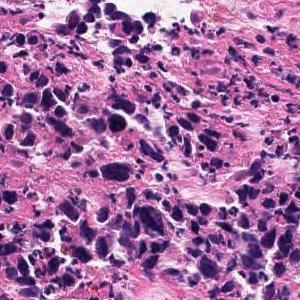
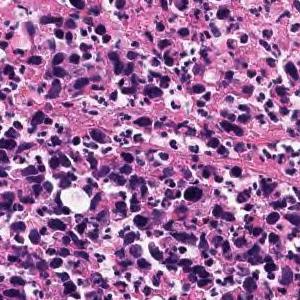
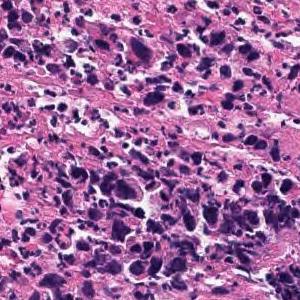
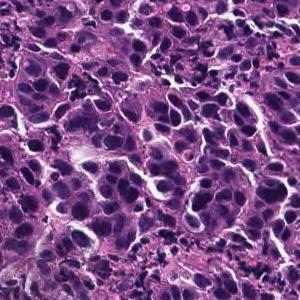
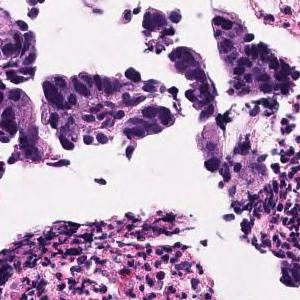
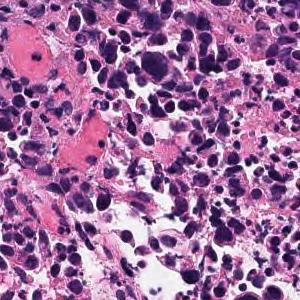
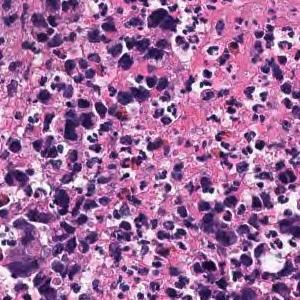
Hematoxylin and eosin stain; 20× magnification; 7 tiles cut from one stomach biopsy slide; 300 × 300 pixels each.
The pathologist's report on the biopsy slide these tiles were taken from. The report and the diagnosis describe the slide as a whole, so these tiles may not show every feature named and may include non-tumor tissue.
In the superficial epithelium, tumor tissue that invades by forming medium-sized to small, irregular ducts is observed. Tumor cells are columnar or cuboidal in shape. Moderately differentiated adenocarcinoma.
Tumor subtype: moderately differentiated tubular adenocarcinoma.
